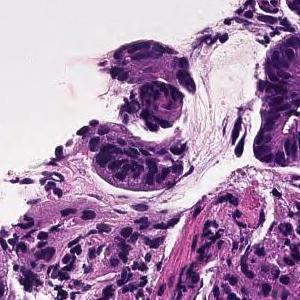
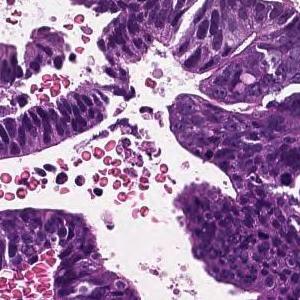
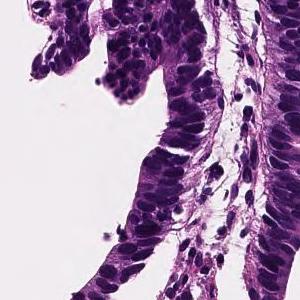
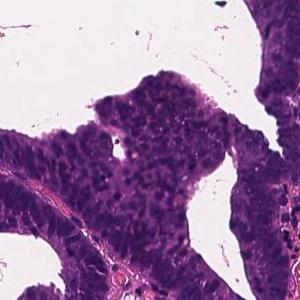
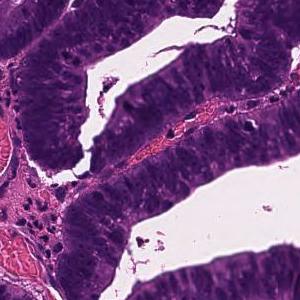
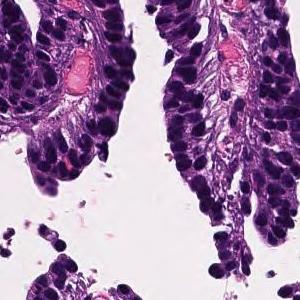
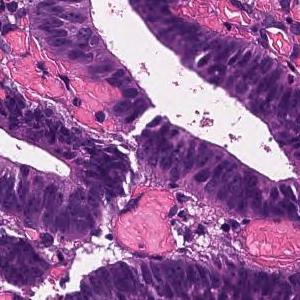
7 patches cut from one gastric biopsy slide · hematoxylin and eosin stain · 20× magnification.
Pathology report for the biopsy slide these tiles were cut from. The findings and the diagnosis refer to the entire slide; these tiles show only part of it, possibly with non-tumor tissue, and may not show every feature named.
Tumor tissue consisting of large papillary structures is found in the superficial epithelium. Papillary adenocarcinoma.
